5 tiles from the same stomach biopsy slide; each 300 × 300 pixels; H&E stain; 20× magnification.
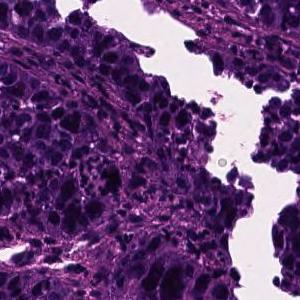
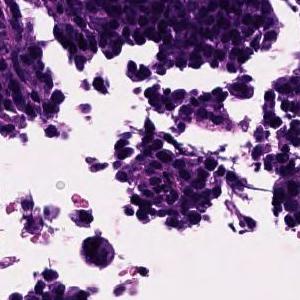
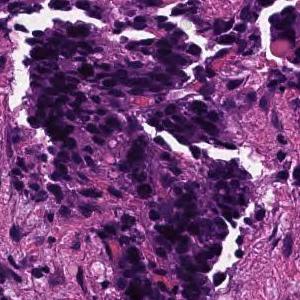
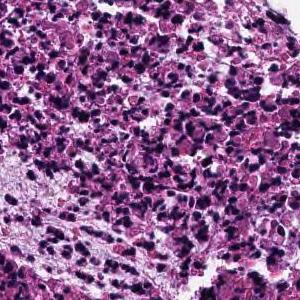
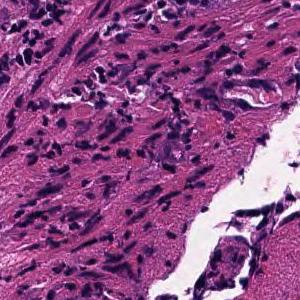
The pathologist's report on the biopsy slide these tiles were taken from. The report and the diagnosis describe the slide as a whole, so these tiles may not show every feature named and may include non-tumor tissue.
In the superficial epithelium, tumor tissue that invades by forming medium-sized to small, irregular ducts is observed. moderately differentiated tubular adenocarcinoma.
